13 patches cut from one gastric biopsy slide · ×20.
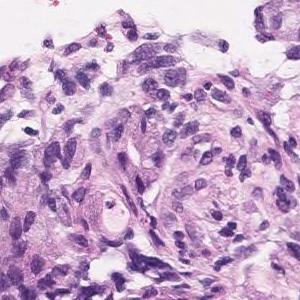
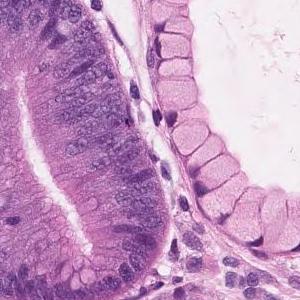
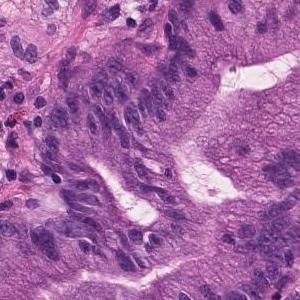
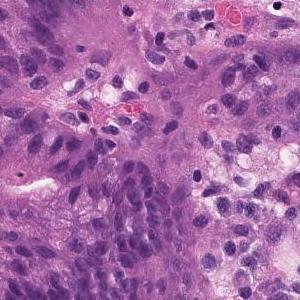
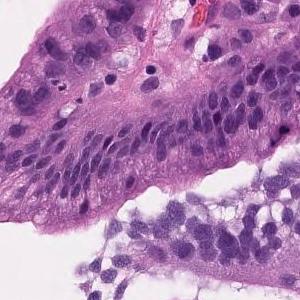
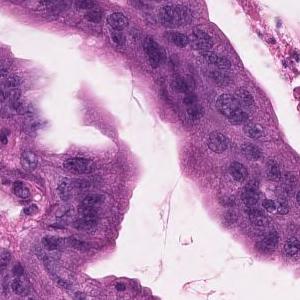
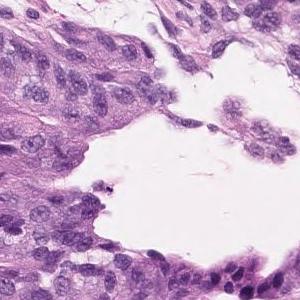
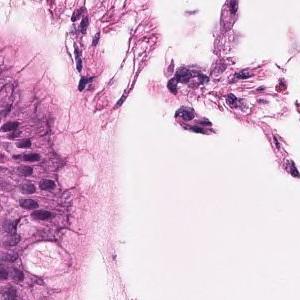
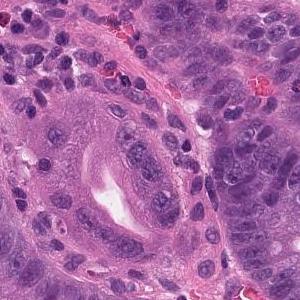
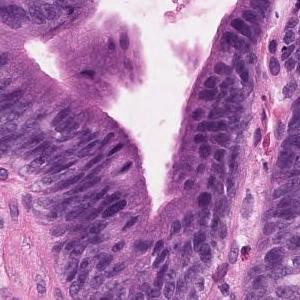
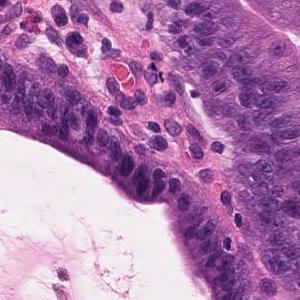
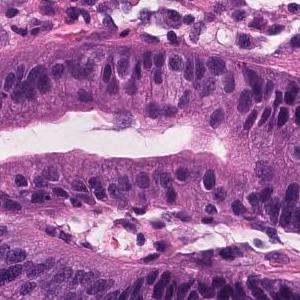
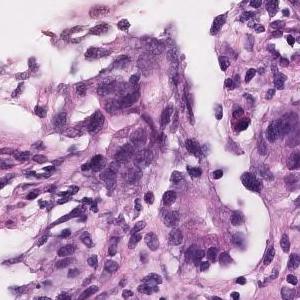
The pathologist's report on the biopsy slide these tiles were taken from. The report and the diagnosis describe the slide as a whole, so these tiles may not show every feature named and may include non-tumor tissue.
On the superficial epithelium, tumor tissue consisting of large, irregular glandular ducts partially fused and infiltrated is observed. Well to moderately differentiated tubular adenocarcinoma (well differentiated tubular adenocarcinoma, moderately differentiated tubular adenocarcinoma)
Histologic type: Well to moderately differentiated tubular adenocarcinoma.
